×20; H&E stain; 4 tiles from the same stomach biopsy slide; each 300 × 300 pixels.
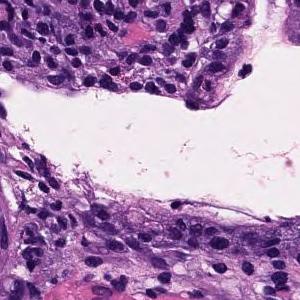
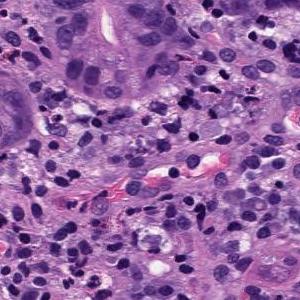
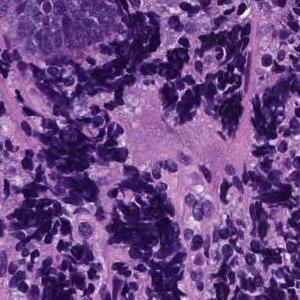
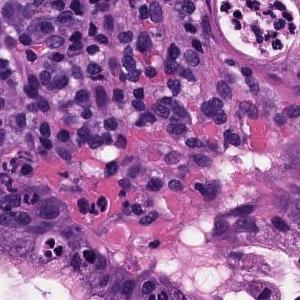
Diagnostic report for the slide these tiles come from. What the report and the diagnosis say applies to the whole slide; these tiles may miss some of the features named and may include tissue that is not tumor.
Medium to small, irregular glandular ducts are formed in the superficial epithelium, and in some cases, the glandular ducts are fused to show solid alveolar lesions and infiltrating tumor tissue is observed. Moderately to poorly differentiated adenocarcinoma.
